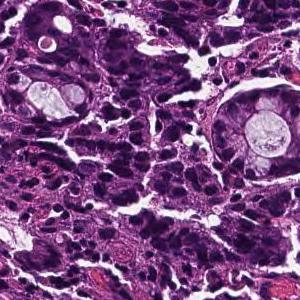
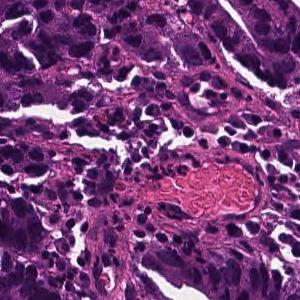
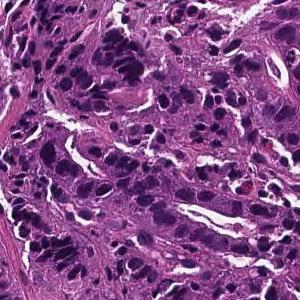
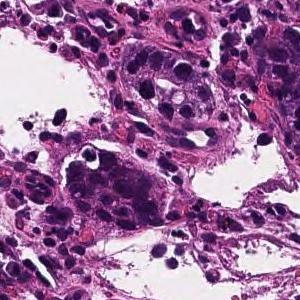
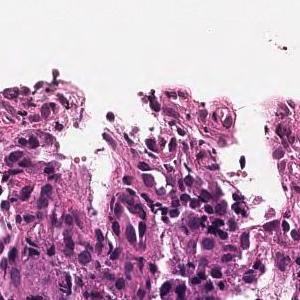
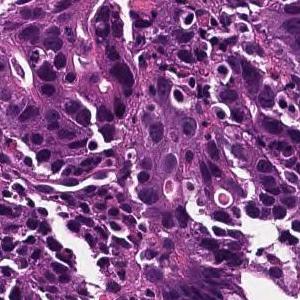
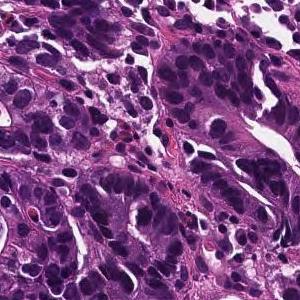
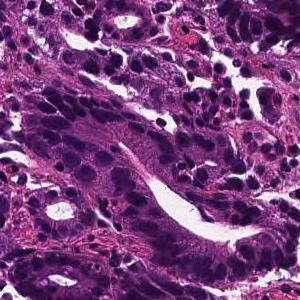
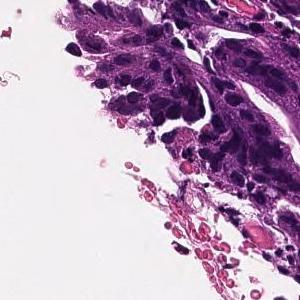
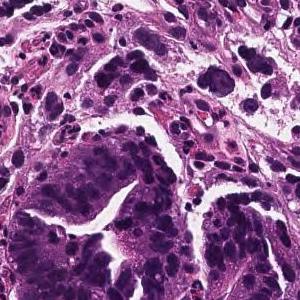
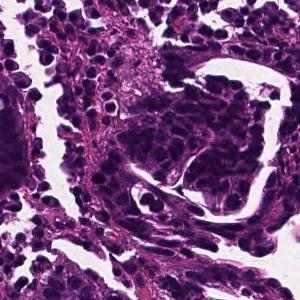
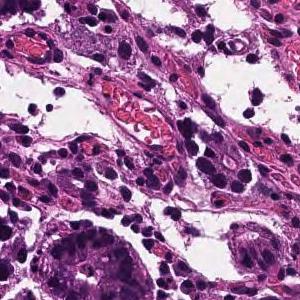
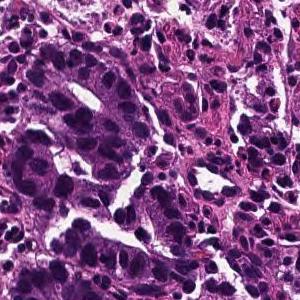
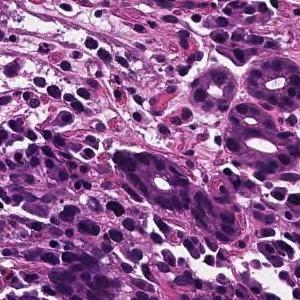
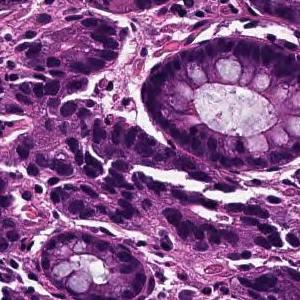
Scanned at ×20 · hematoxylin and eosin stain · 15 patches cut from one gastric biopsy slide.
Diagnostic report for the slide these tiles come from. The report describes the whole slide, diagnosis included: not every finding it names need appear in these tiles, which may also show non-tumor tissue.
In the superficial epithelium, tumor tissue that invades by forming medium-sized to small, irregular ducts is observed. moderately differentiated tubular adenocarcinoma.
